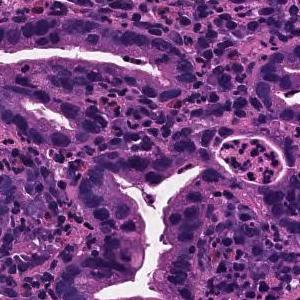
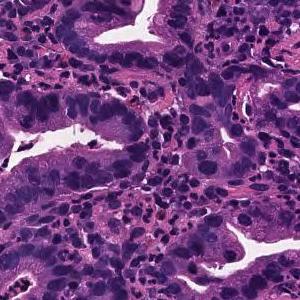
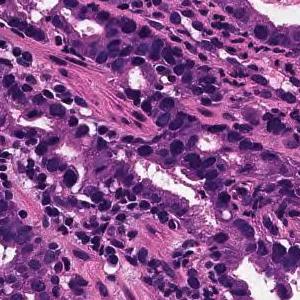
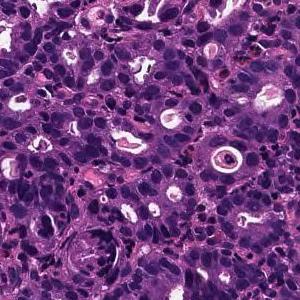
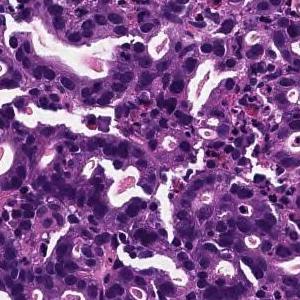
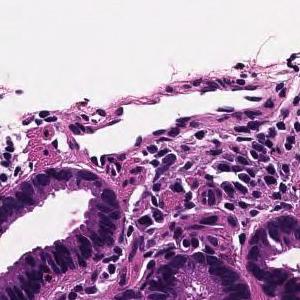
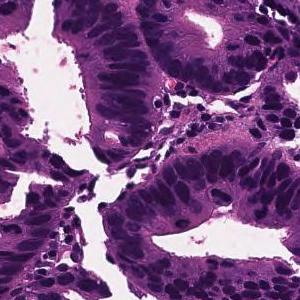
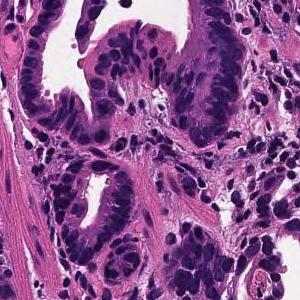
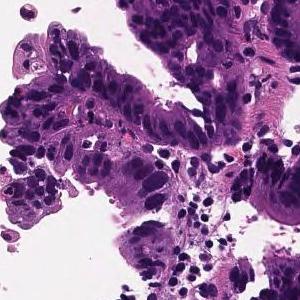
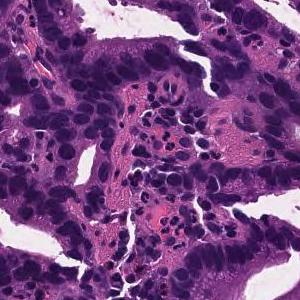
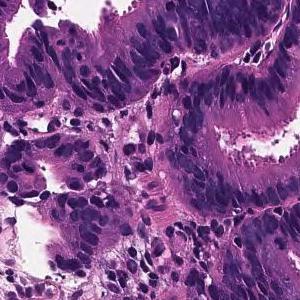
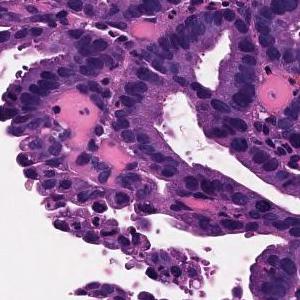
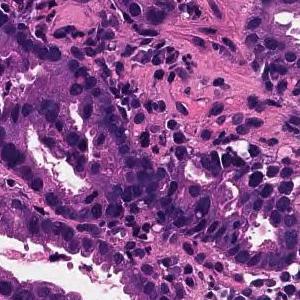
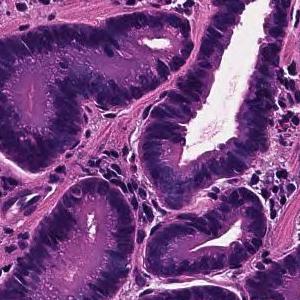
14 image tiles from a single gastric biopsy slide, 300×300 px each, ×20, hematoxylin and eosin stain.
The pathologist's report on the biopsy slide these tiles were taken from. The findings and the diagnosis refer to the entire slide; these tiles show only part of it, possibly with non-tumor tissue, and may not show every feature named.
On the superficial epithelium, tumor tissue is found in which medium-sized irregular gland ducts fuse with each other and infiltrate. moderately differentiated tubular adenocarcinoma
